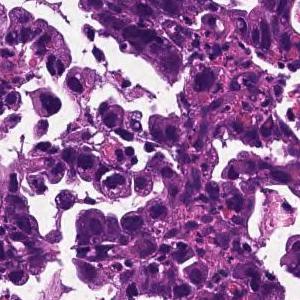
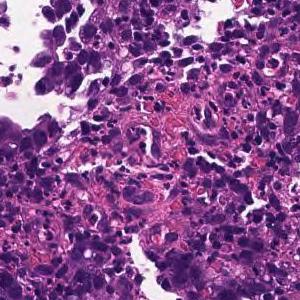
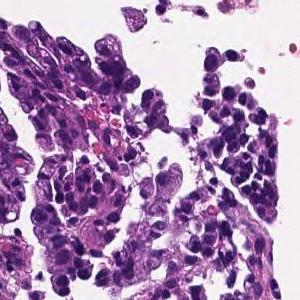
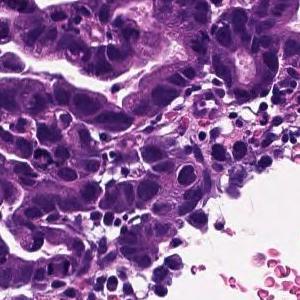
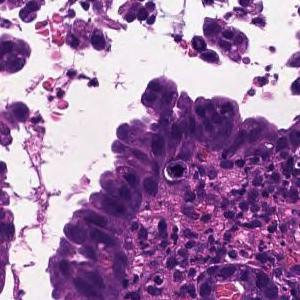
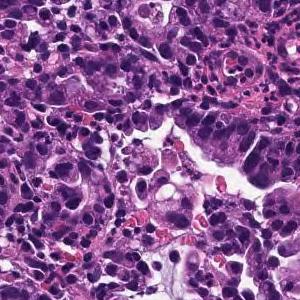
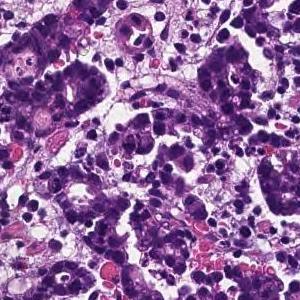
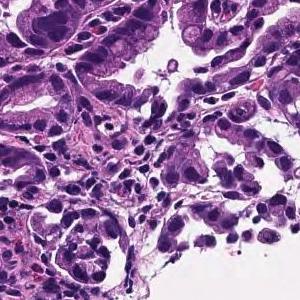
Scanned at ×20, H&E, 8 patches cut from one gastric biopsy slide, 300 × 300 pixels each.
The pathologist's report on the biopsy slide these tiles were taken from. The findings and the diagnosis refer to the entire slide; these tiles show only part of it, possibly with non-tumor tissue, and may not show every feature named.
In the superficial epithelium, tumor tissue that invades by forming medium-sized to small, irregular ducts is observed. moderately differentiated tubular adenocarcinoma.
